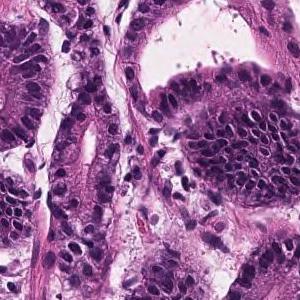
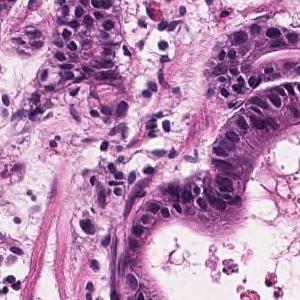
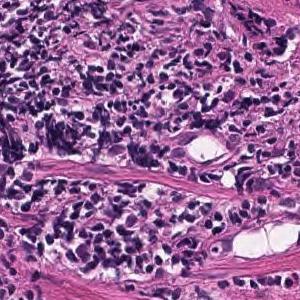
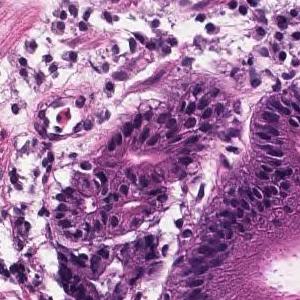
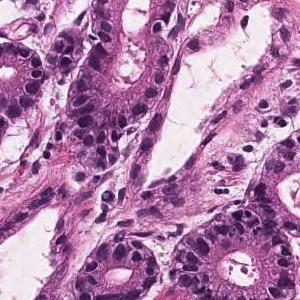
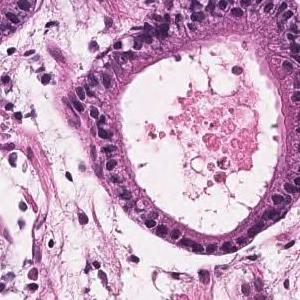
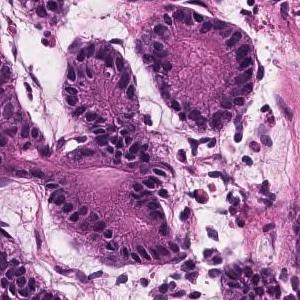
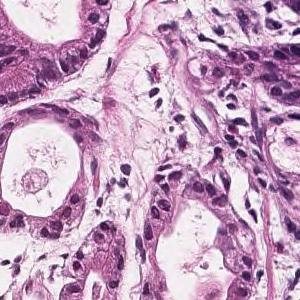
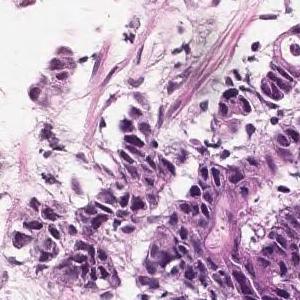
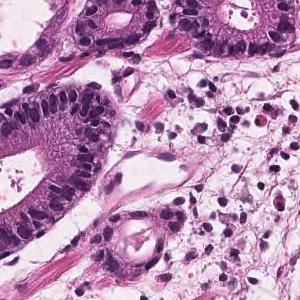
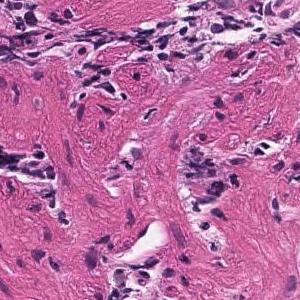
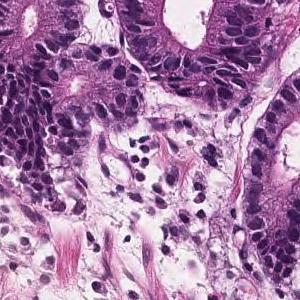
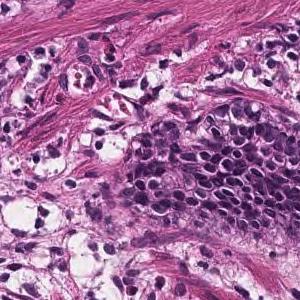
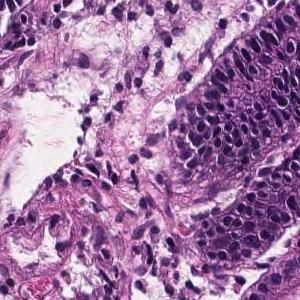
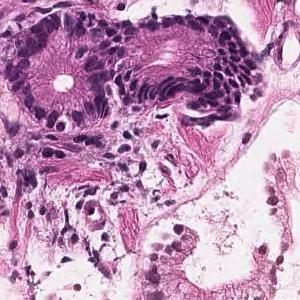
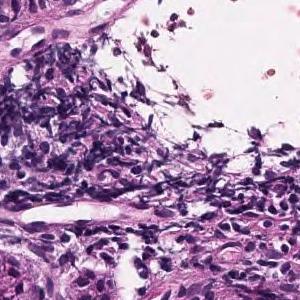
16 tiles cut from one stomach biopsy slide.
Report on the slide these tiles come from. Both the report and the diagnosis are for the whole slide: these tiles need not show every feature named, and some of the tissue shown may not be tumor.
Tumor tissue with atypical epithelium showing irregular ductal or sieving ductal structure and proliferating is observed. Well to moderately differentiated tubular adenocarcinoma (well differentiated tubular adenocarcinoma-moderately differentiated tubular adenocarcinoma)
Tumor subtype: well to moderately differentiated tubular adenocarcinoma.
